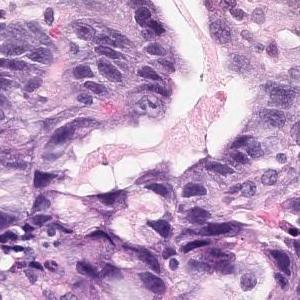
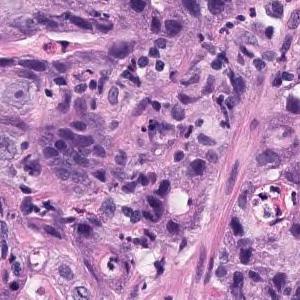
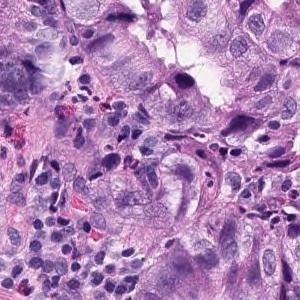
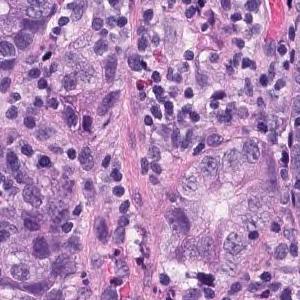
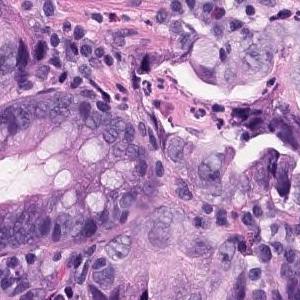
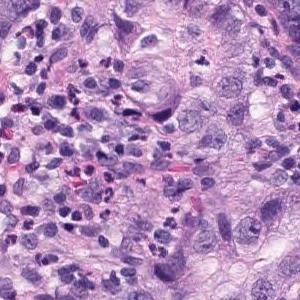
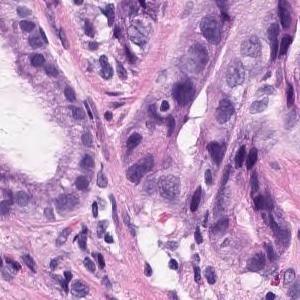
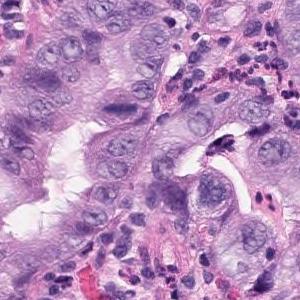
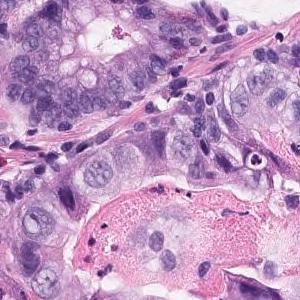
H&E · 9 tiles from the same stomach biopsy slide.
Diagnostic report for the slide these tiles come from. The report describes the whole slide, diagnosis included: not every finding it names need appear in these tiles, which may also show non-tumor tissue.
In the superficial epithelium, tumor tissue that invades by forming medium-sized to small irregular glandular ducts is observed. Moderately differentiated adenocarcinoma.
Classified as moderately differentiated tubular adenocarcinoma.
